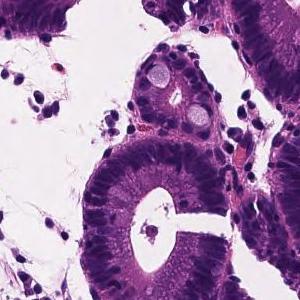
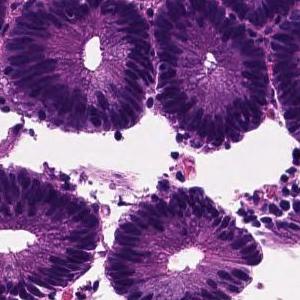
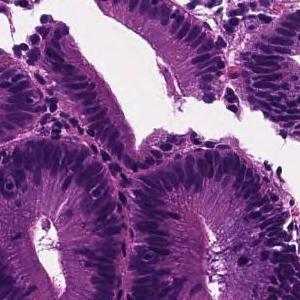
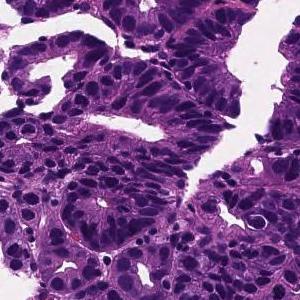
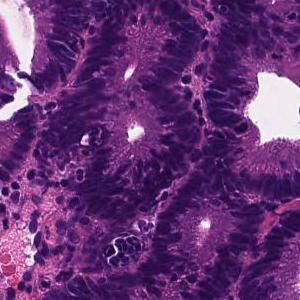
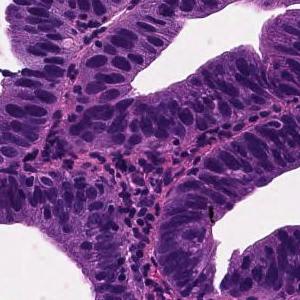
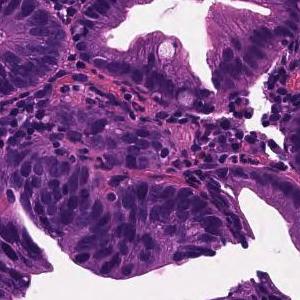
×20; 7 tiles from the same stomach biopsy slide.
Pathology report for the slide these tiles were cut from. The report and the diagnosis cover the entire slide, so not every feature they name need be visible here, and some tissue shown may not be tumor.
Tumor tissue in which medium to small irregular ducts infiltrate and proliferate in the submucosa can be seen in the epithelium. Well differentiated tubular adenocarcinoma
